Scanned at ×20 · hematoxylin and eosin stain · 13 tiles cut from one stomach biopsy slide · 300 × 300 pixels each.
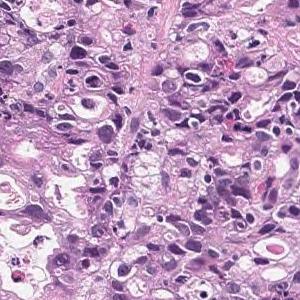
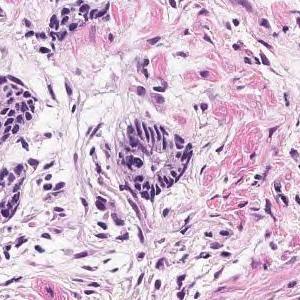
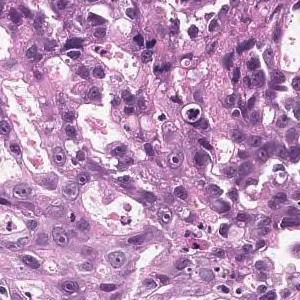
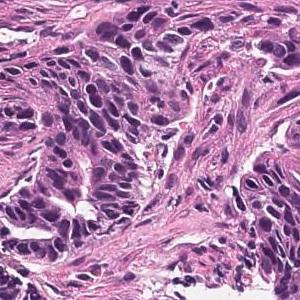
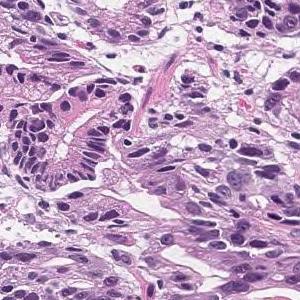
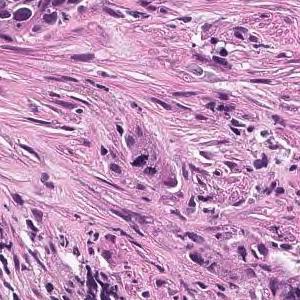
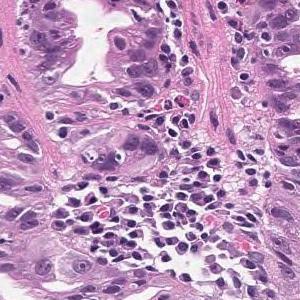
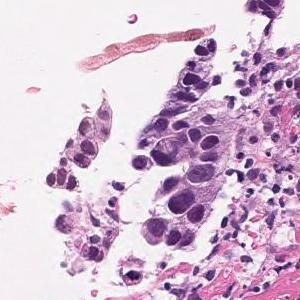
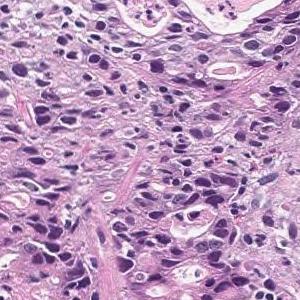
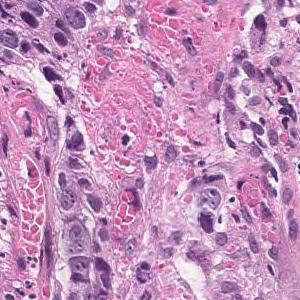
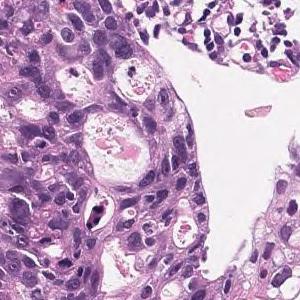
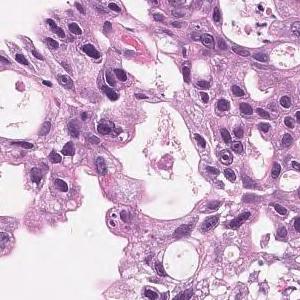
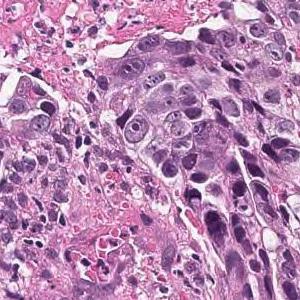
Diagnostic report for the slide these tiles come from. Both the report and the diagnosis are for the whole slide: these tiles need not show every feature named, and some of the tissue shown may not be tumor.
Tumor cells are large, highly columnar, large club-shaped nuclei, and are associated with chromatin aggregation. Papillary adenocarcinoma.
